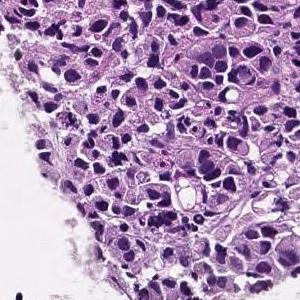
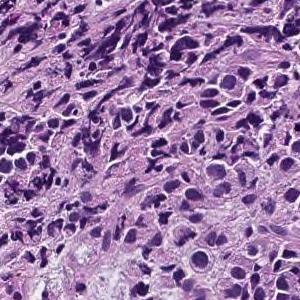
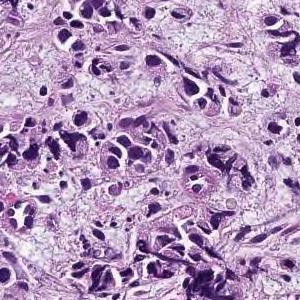
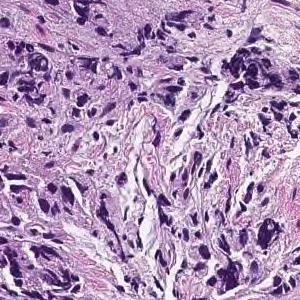
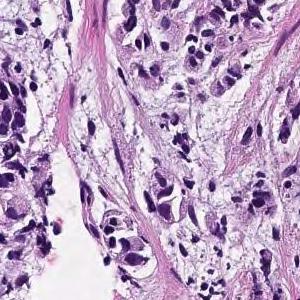
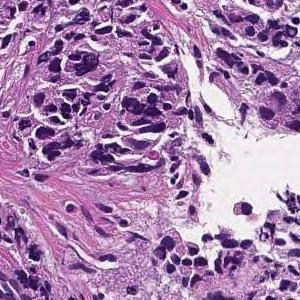
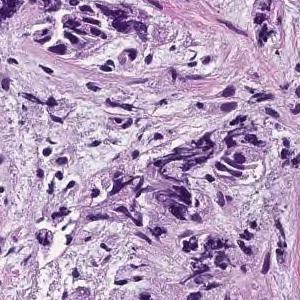
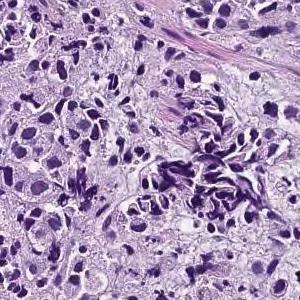
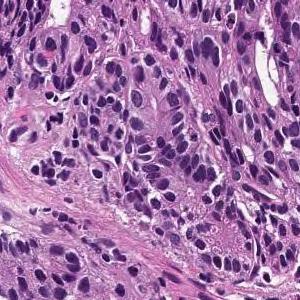
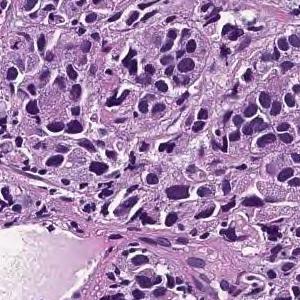
10 patches cut from one gastric biopsy slide, scanned at ×20, hematoxylin and eosin stain.
Report on the slide these tiles come from. The findings and the diagnosis refer to the entire slide; these tiles show only part of it, possibly with non-tumor tissue, and may not show every feature named.
The lamina propria shows small cord-like tumor tissue that infiltrates with fibrosis and marked chronic inflammatory cell infiltration. Poorly differentiated adenocarcinoma, non-solid type
The non-solid type named here is a Japanese Classification of Gastric Carcinoma category.
